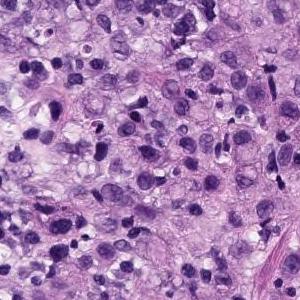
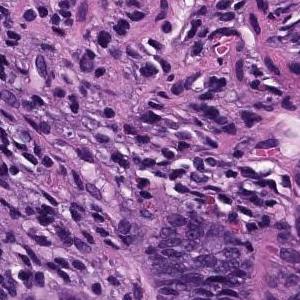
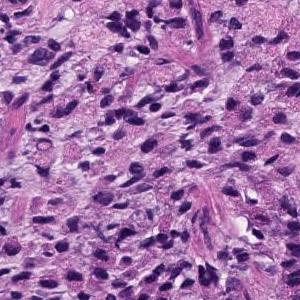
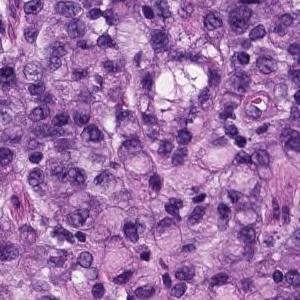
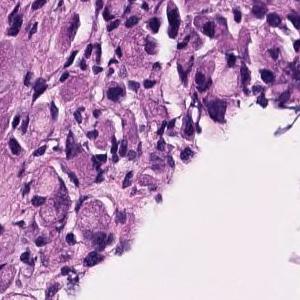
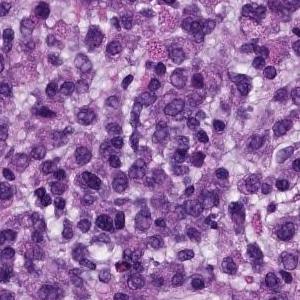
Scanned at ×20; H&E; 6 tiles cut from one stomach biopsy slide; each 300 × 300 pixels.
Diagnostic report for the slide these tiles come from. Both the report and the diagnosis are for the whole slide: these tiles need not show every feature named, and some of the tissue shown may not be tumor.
The superficial epithelium shows a large sheet-like shape, and some tumor tissue infiltrates with small irregular ducts. Poorly differentiated adenocarcinoma, solid-type
Subtype: Poorly differentiated adenocarcinoma, solid type, a category of the Japanese Classification of Gastric Carcinoma; in the WHO 2019 classification it is tubular adenocarcinoma, poorly differentiated.
